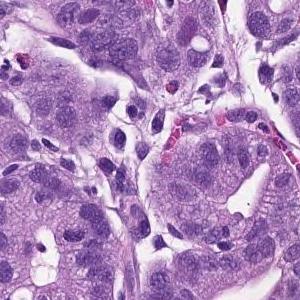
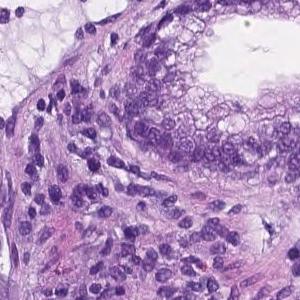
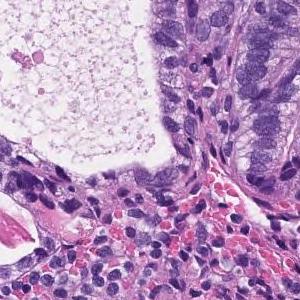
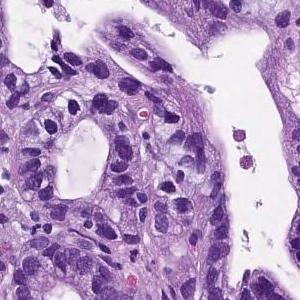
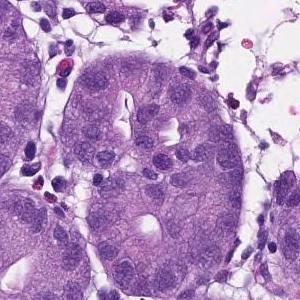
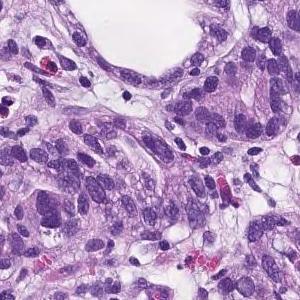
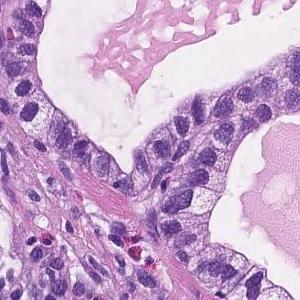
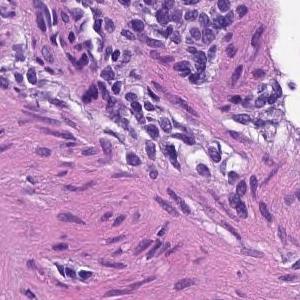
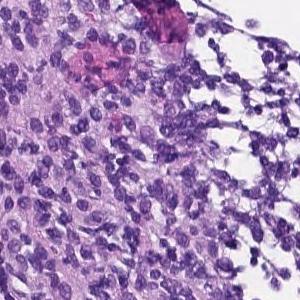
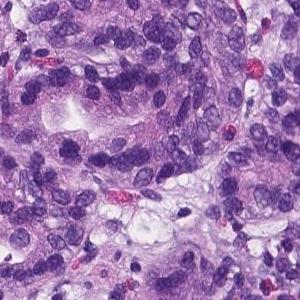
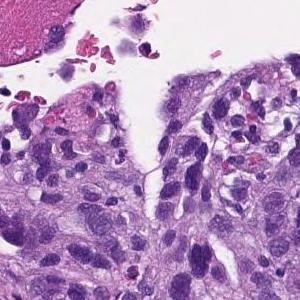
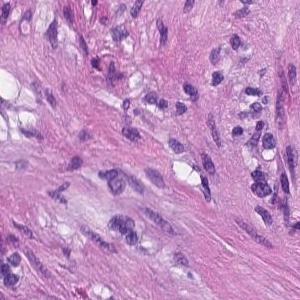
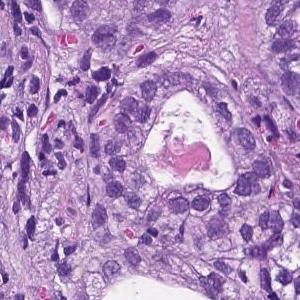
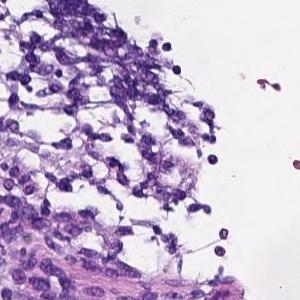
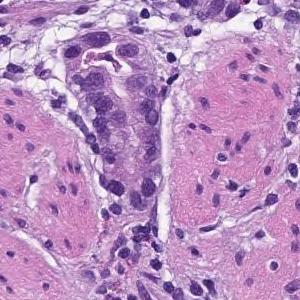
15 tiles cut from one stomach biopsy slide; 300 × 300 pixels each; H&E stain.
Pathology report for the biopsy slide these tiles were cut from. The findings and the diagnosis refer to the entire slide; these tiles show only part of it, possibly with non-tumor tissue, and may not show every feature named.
From the superficial epithelium to the muscularis mucosae, tumor tissue consisting of medium-sized and irregular glandular ducts infiltrating is observed. Well differentiated tubular adenocarcinoma
